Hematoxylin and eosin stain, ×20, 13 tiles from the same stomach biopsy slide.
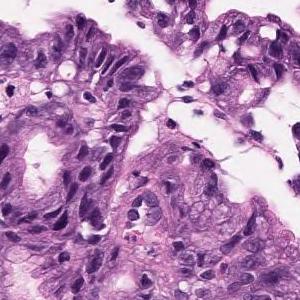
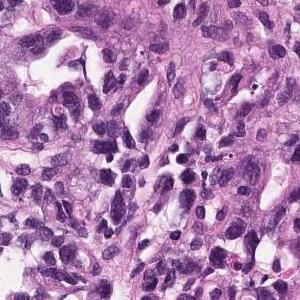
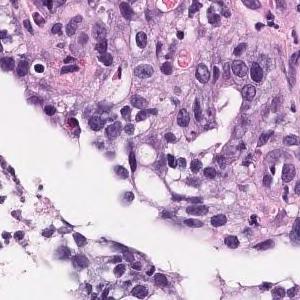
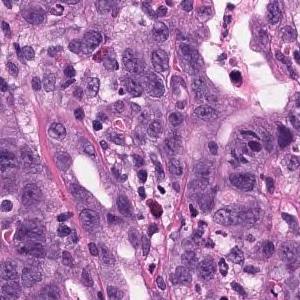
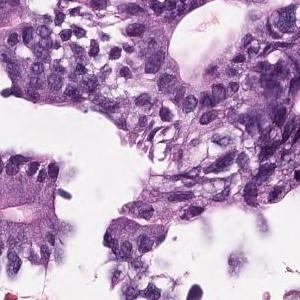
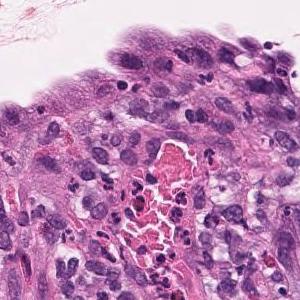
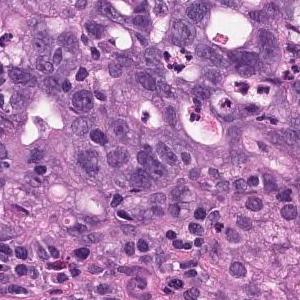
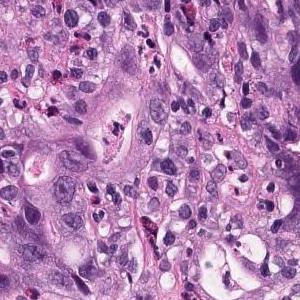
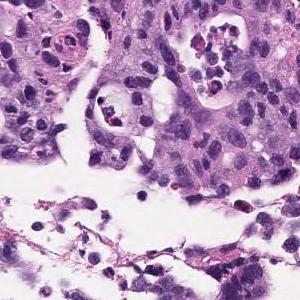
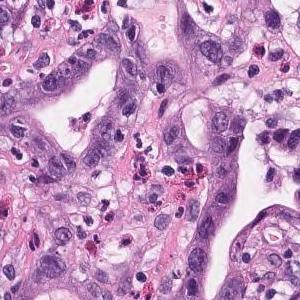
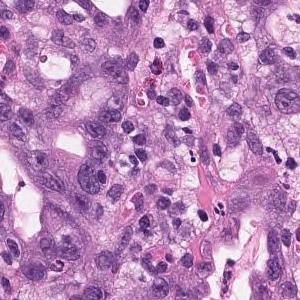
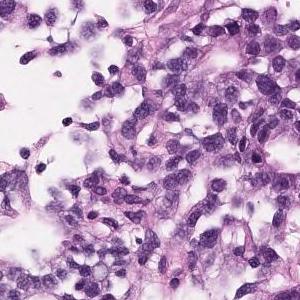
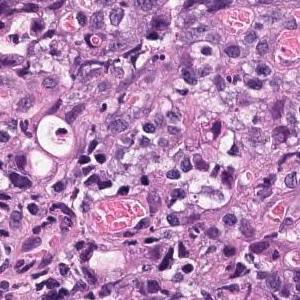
The pathologist's report on the biopsy slide these tiles were taken from. The report and the diagnosis cover the entire slide, so not every feature they name need be visible here, and some tissue shown may not be tumor.
Atypical ducts proliferating with obscure duct construction and solid sequences is observed. Moderately to poorly differentiated adenocarcinoma.
